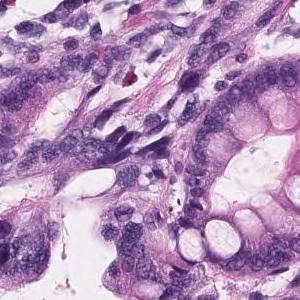
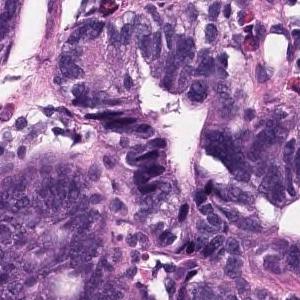
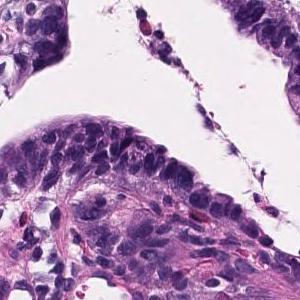
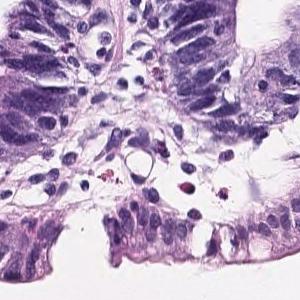
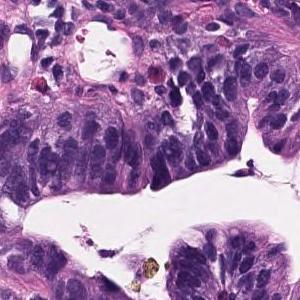
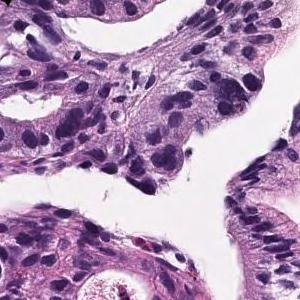
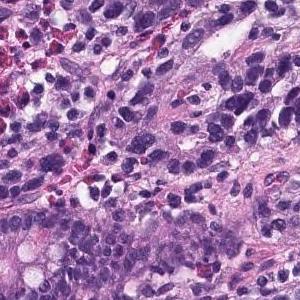
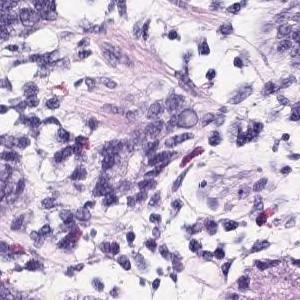
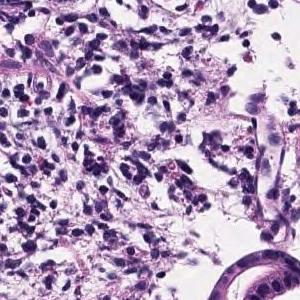
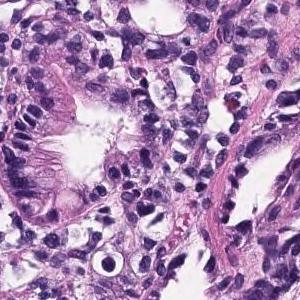
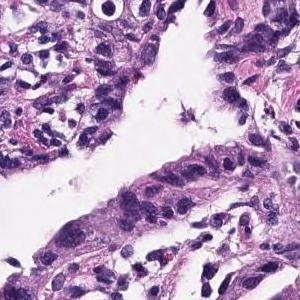
H&E · 20× magnification · 11 patches cut from one gastric biopsy slide.
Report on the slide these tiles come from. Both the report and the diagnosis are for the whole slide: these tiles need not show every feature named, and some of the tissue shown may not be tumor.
Tumor cells are large, highly columnar, large club-shaped nuclei, and are associated with chromatin aggregation. Papillary adenocarcinoma.
